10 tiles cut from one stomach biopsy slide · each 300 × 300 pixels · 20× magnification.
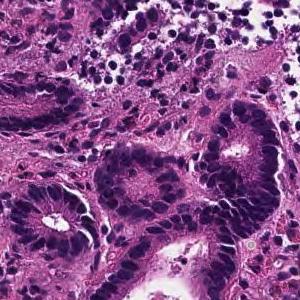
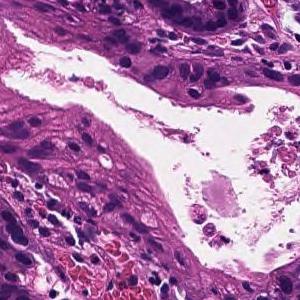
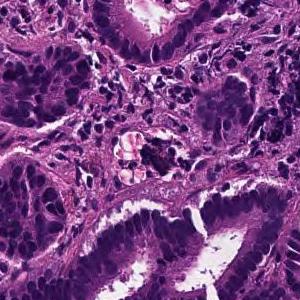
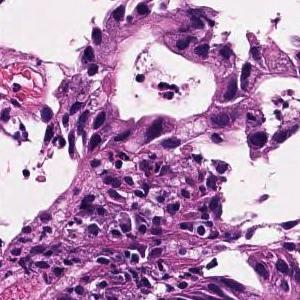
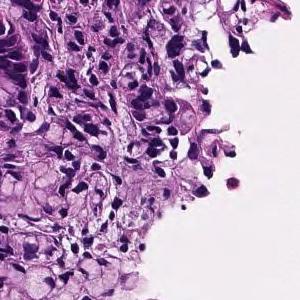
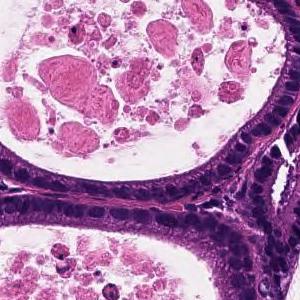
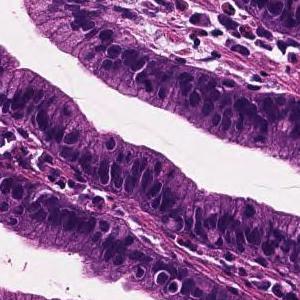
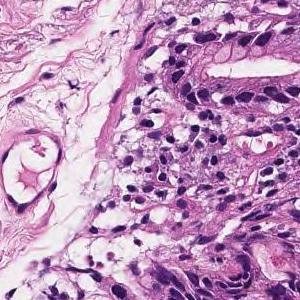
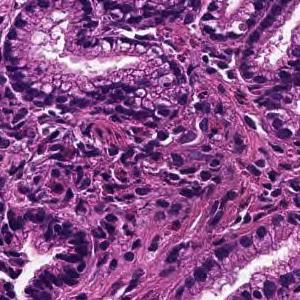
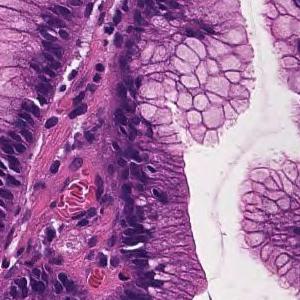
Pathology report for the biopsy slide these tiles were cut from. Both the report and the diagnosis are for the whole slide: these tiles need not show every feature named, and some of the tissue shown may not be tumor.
On the superficial epithelium, tumor tissue consisting of medium-sized and irregular glandular ducts partially fused and infiltrated is observed. Well to moderately differentiated tubular adenocarcinoma (well differentiated tubular adenocarcinoma-moderately differentiated tubular adenocarcinoma)
Tumor subtype: well to moderately differentiated tubular adenocarcinoma.
